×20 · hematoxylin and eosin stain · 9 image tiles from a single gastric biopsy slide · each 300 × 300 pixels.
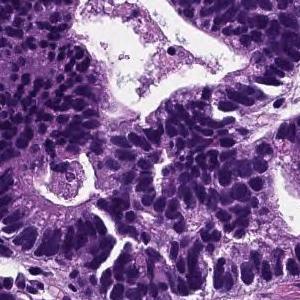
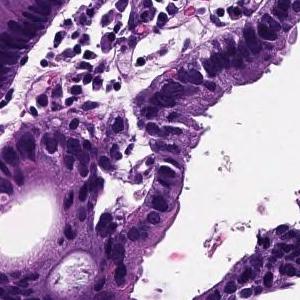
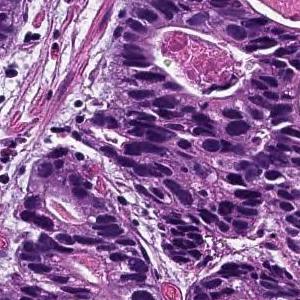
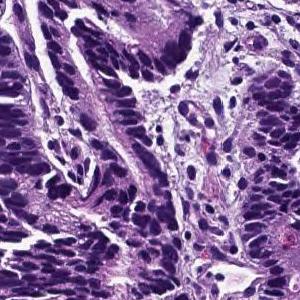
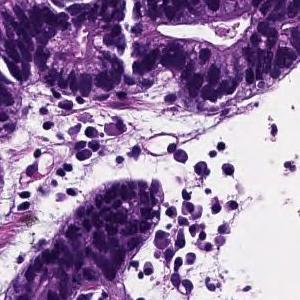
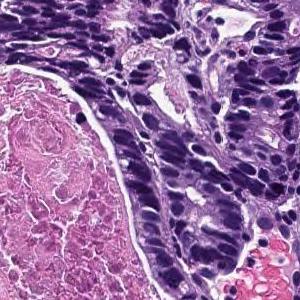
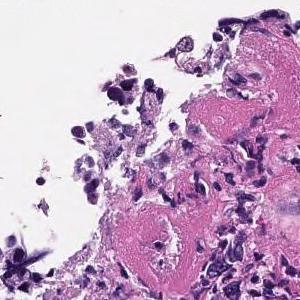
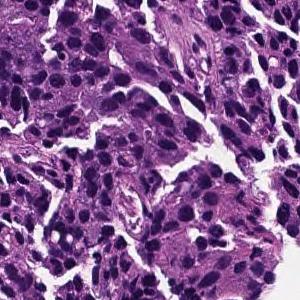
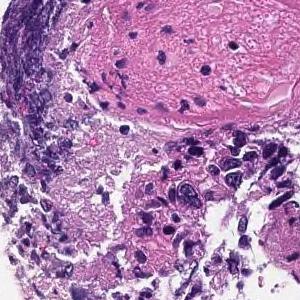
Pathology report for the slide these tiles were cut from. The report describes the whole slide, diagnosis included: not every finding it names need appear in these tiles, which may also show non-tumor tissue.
From the superficial epithelium to the muscularis mucosae, tumor tissue consisting of medium-sized and irregular glandular ducts infiltrating is observed. Well differentiated tubular adenocarcinoma
